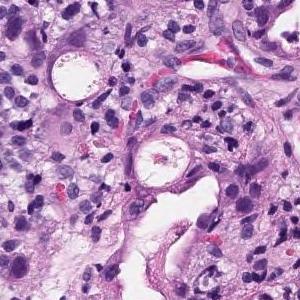
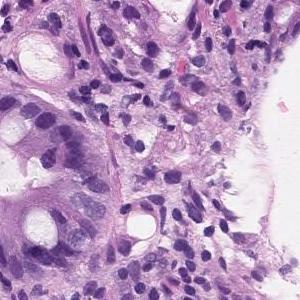
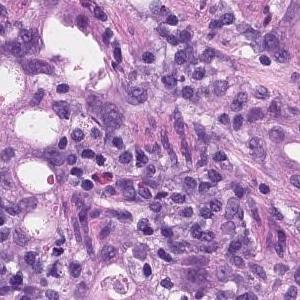
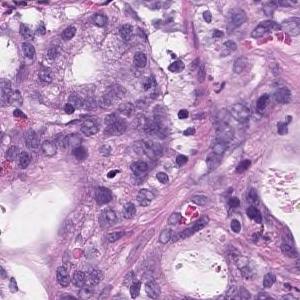
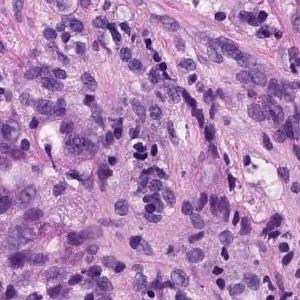
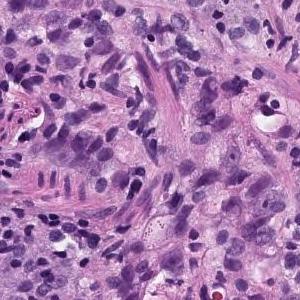
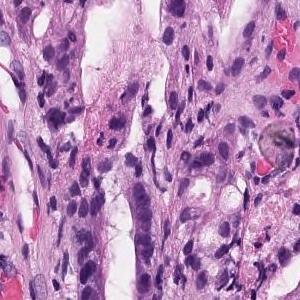
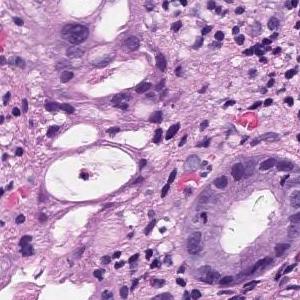
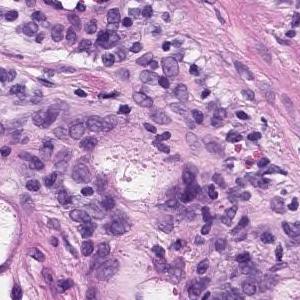
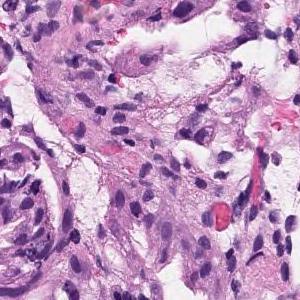
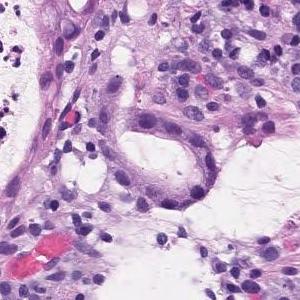
Hematoxylin and eosin stain · 11 tiles cut from one stomach biopsy slide · 300×300 px each.
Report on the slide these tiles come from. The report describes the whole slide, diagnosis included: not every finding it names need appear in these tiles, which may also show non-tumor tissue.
In the superficial epithelium, tumor tissue that invades by forming medium-sized to small, irregular ducts is observed. Moderately differentiated adenocarcinoma.
Subtype: Moderately differentiated tubular adenocarcinoma.
